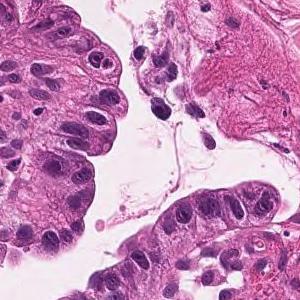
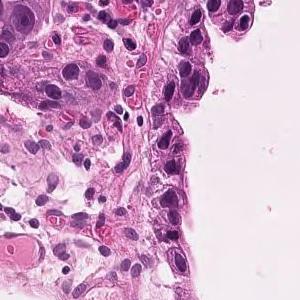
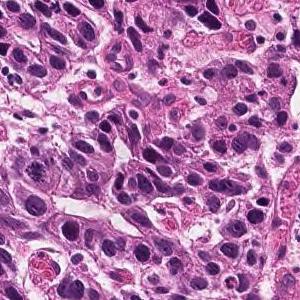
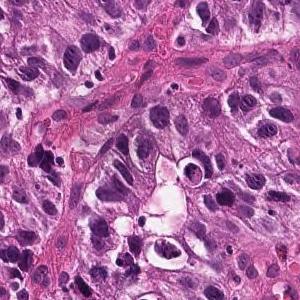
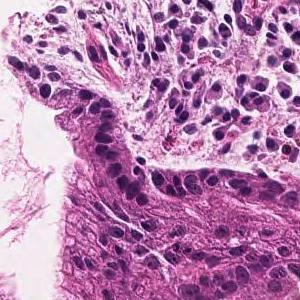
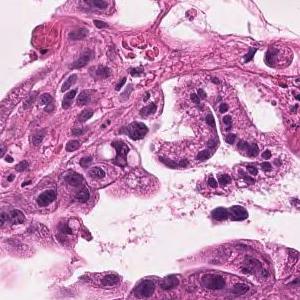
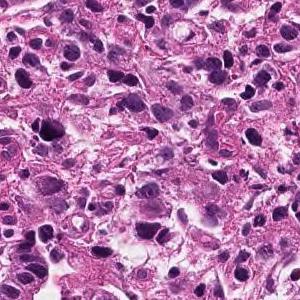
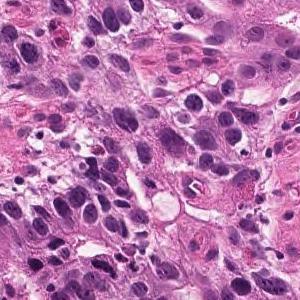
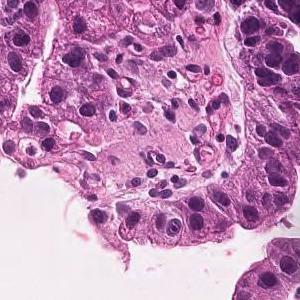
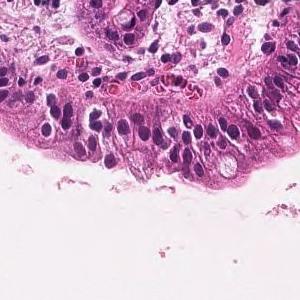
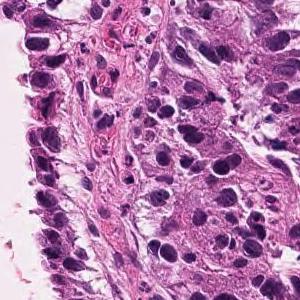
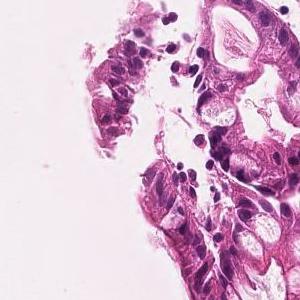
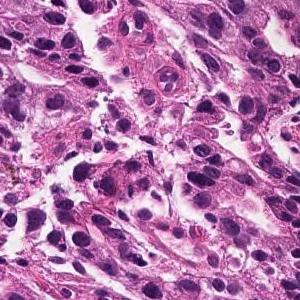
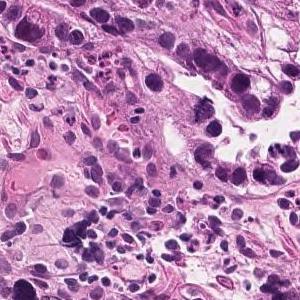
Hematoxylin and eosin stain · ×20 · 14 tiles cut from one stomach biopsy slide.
Pathology report for the biopsy slide these tiles were cut from. Both the report and the diagnosis are for the whole slide: these tiles need not show every feature named, and some of the tissue shown may not be tumor.
Tumor tissue consisting of medium-sized, cord-like or irregular glandular infiltration is observed in the superficial epithelium. Poorly differentiated adenocarcinoma, non-solid type or moderately differentiated tubular adenocarcinoma
Subtype: Moderately to poorly differentiated adenocarcinoma.
The term "non-solid type" comes from the Japanese Classification of Gastric Carcinoma.
